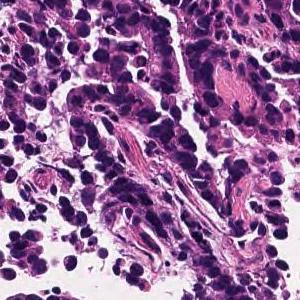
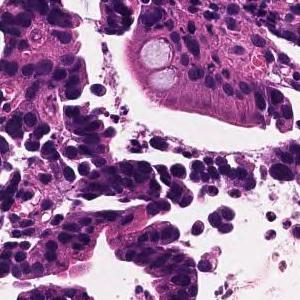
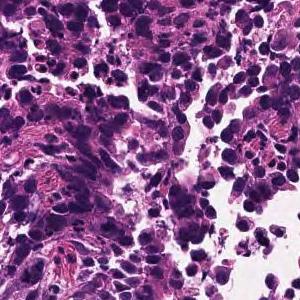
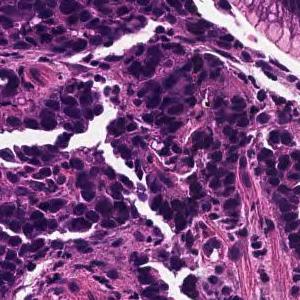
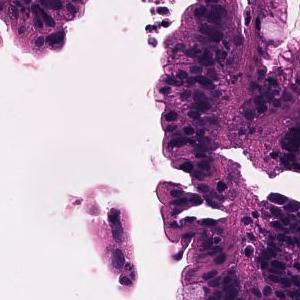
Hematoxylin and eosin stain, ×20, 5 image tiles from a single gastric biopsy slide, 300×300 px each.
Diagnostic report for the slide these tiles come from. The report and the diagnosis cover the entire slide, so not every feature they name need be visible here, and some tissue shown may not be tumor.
Medium to small, irregular glandular ducts are formed in the superficial epithelium, and in some cases, the glandular ducts are fused to show solid alveolar lesions and infiltrating tumor tissue is observed. Moderately to poorly differentiated adenocarcinoma.
